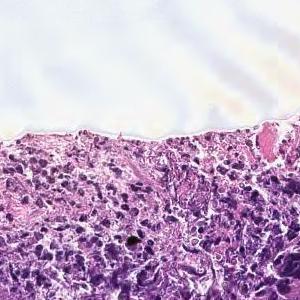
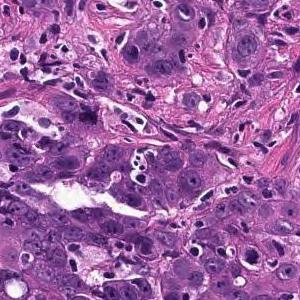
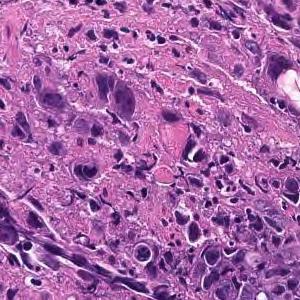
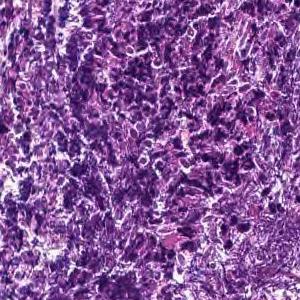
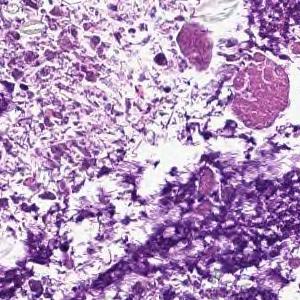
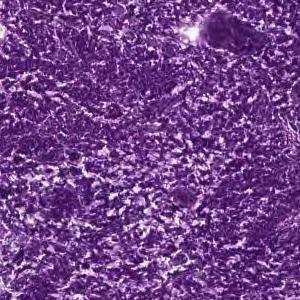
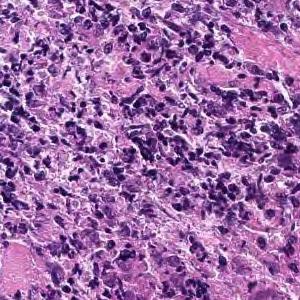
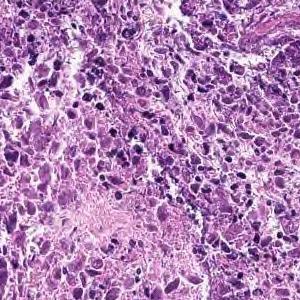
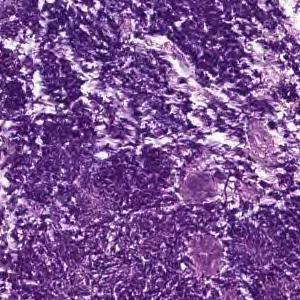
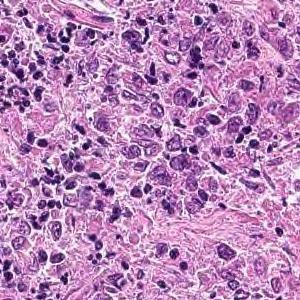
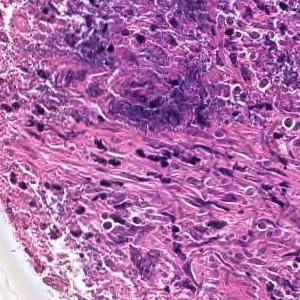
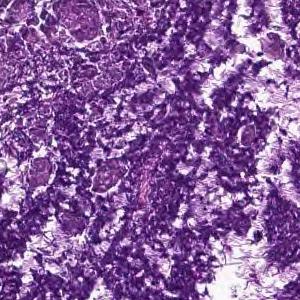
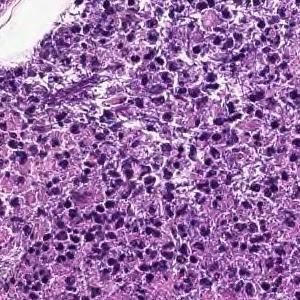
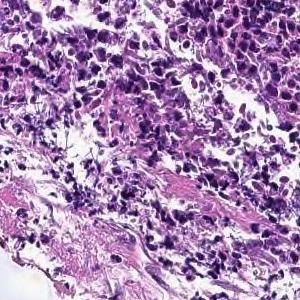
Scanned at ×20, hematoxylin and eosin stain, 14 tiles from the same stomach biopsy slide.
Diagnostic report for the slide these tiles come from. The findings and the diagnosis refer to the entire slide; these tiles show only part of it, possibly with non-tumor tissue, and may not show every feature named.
Cancers with polygonal nuclei do not show glandular formation and are densely, in part, cord-like and proliferate. Poorly differentiated adenocarcinoma
Tumor subtype: poorly differentiated adenocarcinoma, non-solid type.
The non-solid type named here is a Japanese Classification of Gastric Carcinoma category.
